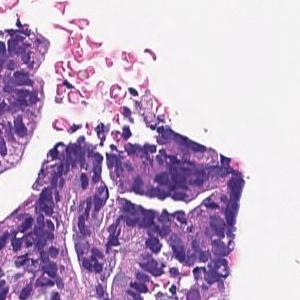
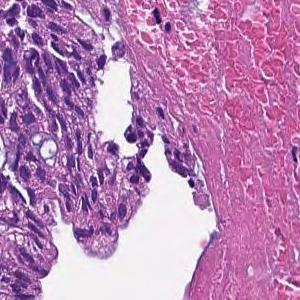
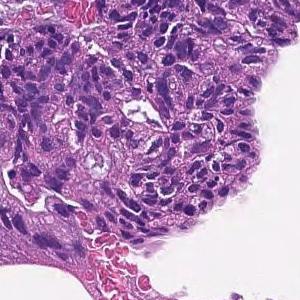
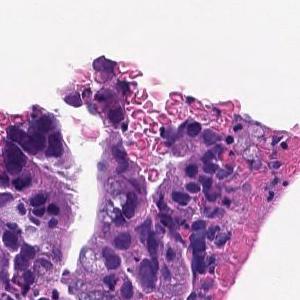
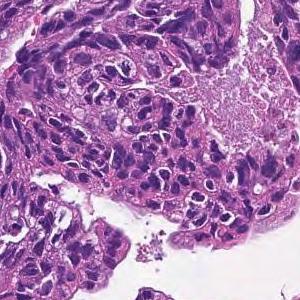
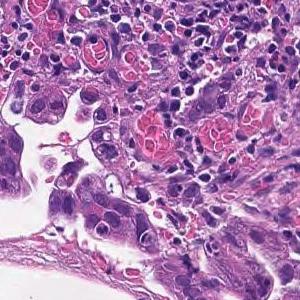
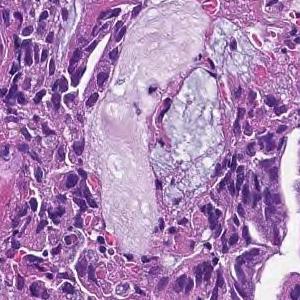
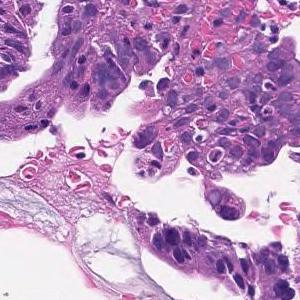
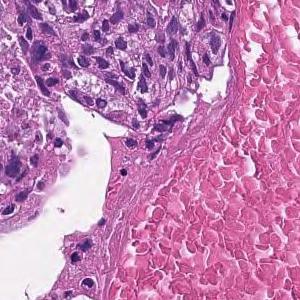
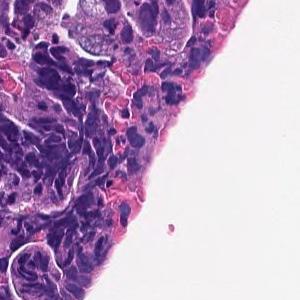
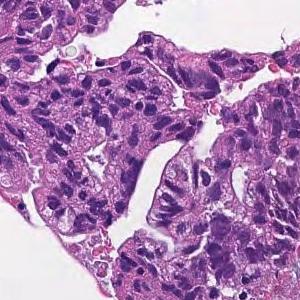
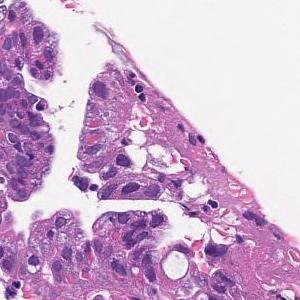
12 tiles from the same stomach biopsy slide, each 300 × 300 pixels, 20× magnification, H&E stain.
Pathology report for the biopsy slide these tiles were cut from. Both the report and the diagnosis are for the whole slide: these tiles need not show every feature named, and some of the tissue shown may not be tumor.
In the superficial epithelium, tumor tissue that invades by forming medium-sized to small, irregular ducts is observed. moderately differentiated tubular adenocarcinoma.
